12 image tiles from a single gastric biopsy slide, 300×300 px each, 20× magnification, H&E.
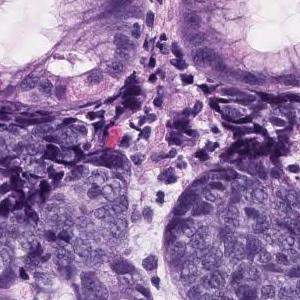
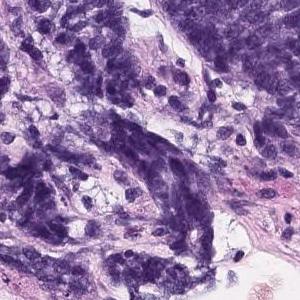
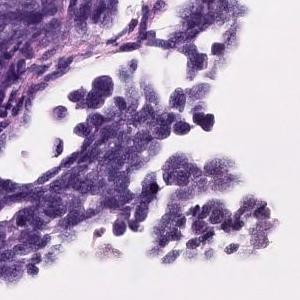
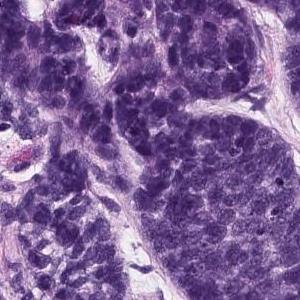
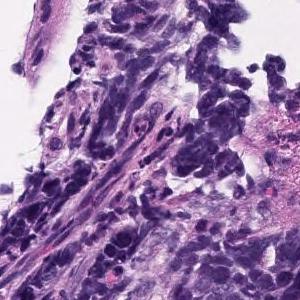
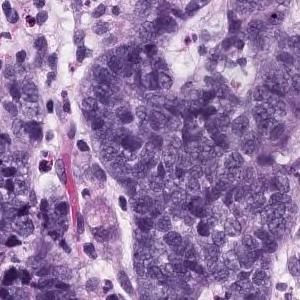
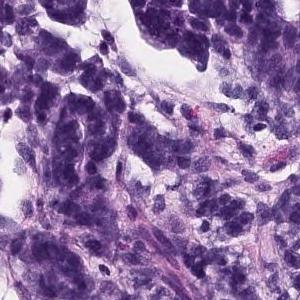
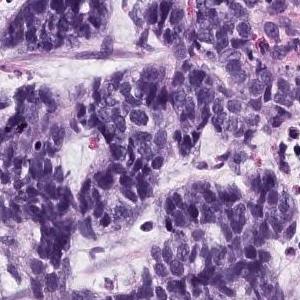
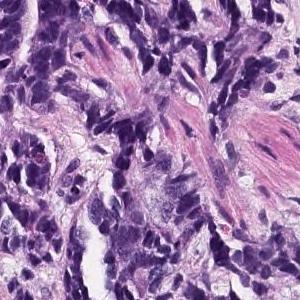
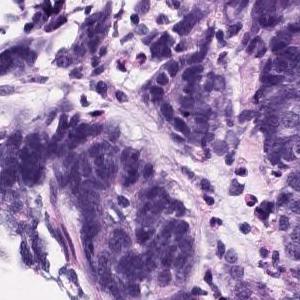
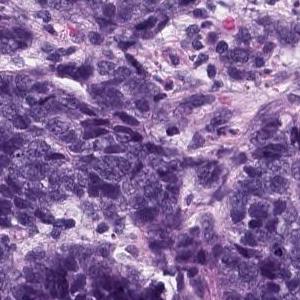
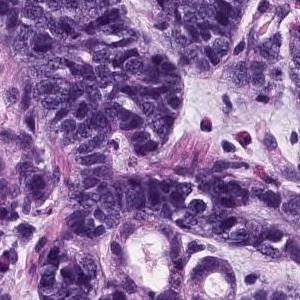
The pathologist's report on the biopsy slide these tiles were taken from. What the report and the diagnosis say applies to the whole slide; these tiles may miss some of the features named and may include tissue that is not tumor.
Group 5, Adenocarcinoma. Moderately to poorly differentiated adenocarcinoma
